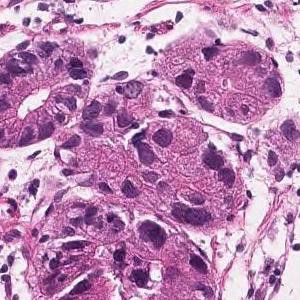
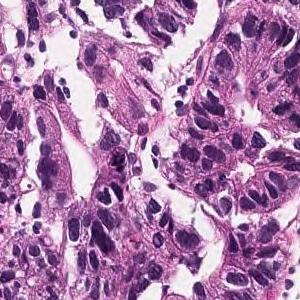
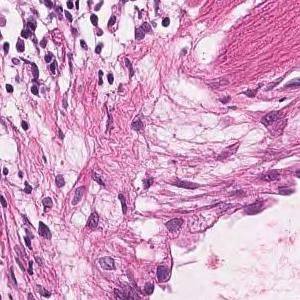
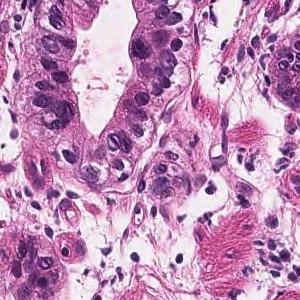
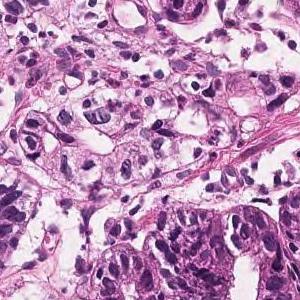
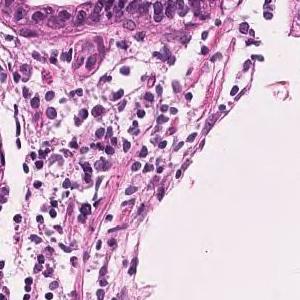
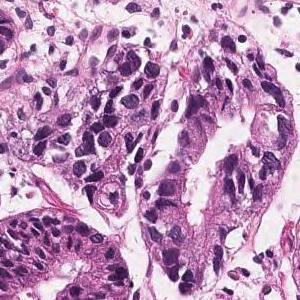
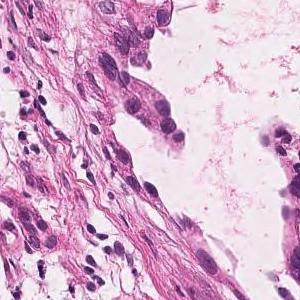
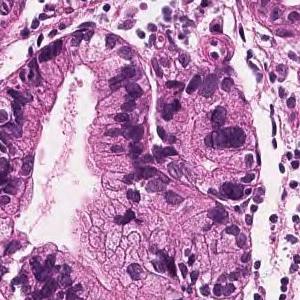
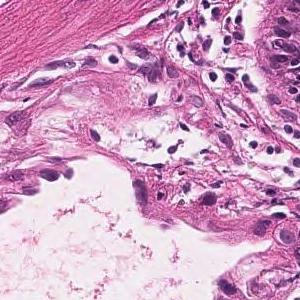
10 image tiles from a single gastric biopsy slide; each 300 × 300 pixels; scanned at ×20; H&E stain.
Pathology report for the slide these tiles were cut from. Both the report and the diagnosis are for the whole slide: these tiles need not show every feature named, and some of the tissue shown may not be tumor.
On the superficial epithelium, tumor tissue that infiltrates by forming medium-sized papillary or small irregular ducts is observed. Papillary adenocarcinoma
